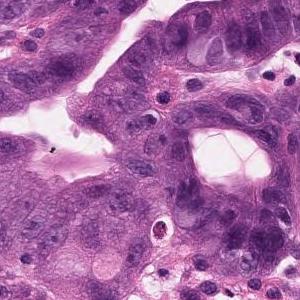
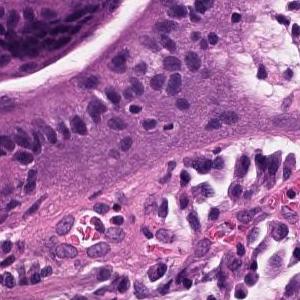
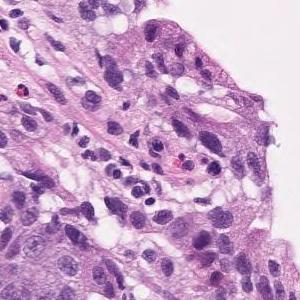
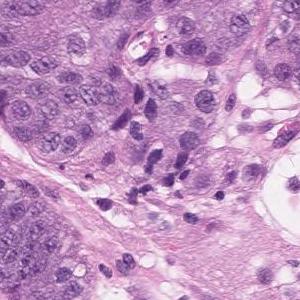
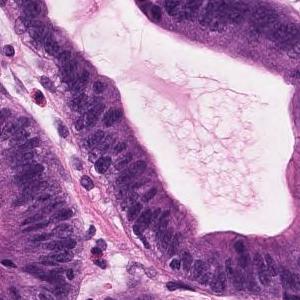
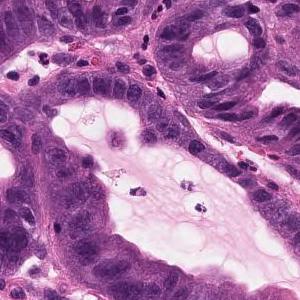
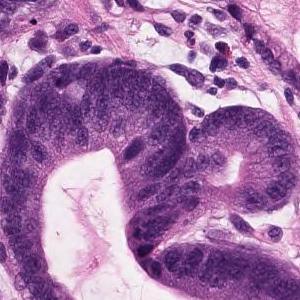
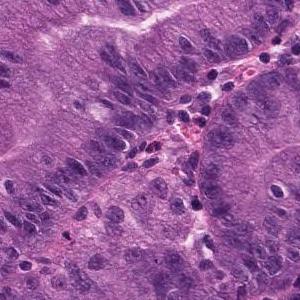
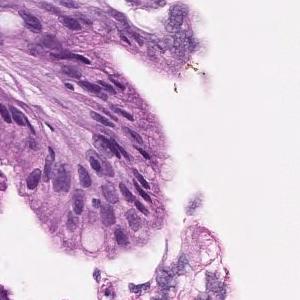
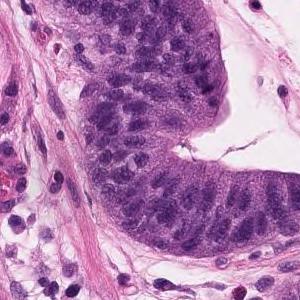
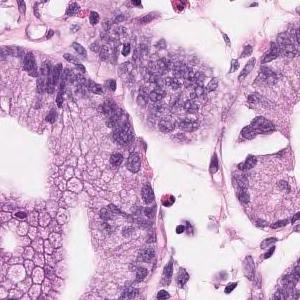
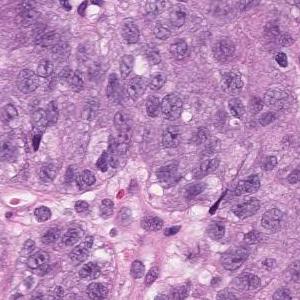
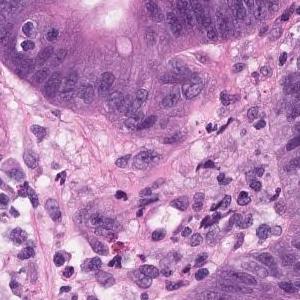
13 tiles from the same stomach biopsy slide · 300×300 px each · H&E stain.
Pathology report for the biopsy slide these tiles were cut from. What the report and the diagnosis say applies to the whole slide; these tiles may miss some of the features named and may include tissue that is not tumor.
On the superficial epithelium, tumor tissue consisting of large, irregular glandular ducts partially fused and infiltrated is observed. Well to moderately differentiated tubular adenocarcinoma (well differentiated tubular adenocarcinoma, moderately differentiated tubular adenocarcinoma)
Histological subtype: Well to moderately differentiated tubular adenocarcinoma.
